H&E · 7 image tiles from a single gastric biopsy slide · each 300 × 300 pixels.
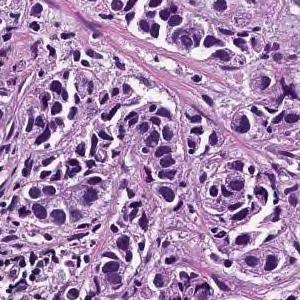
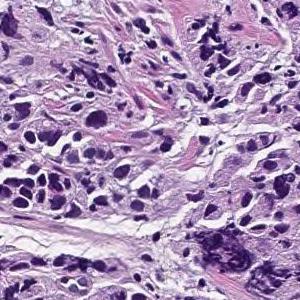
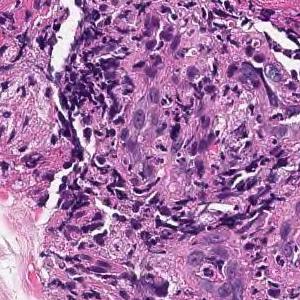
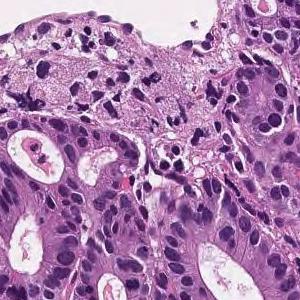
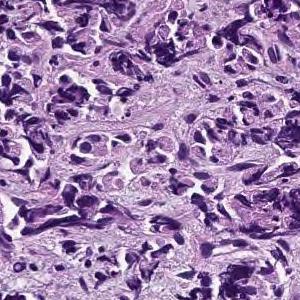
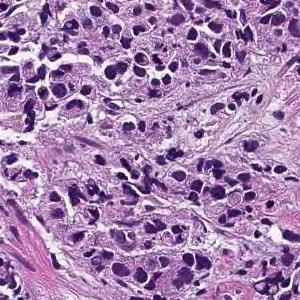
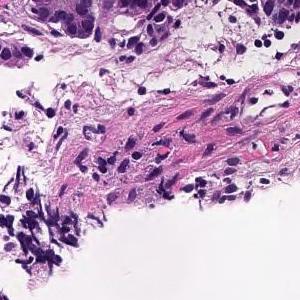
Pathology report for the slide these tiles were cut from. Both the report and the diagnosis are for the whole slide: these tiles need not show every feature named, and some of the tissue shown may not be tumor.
The lamina propria shows small cord-like tumor tissue that infiltrates with fibrosis and marked chronic inflammatory cell infiltration. Poorly differentiated adenocarcinoma, non-solid type
The term "non-solid type" comes from the Japanese Classification of Gastric Carcinoma.
